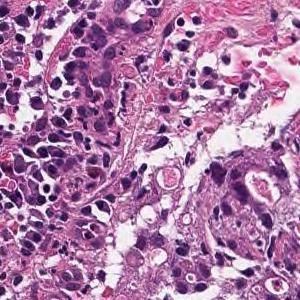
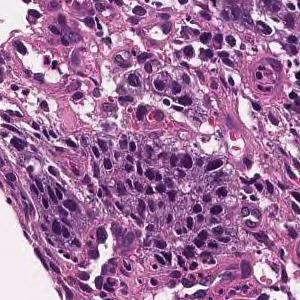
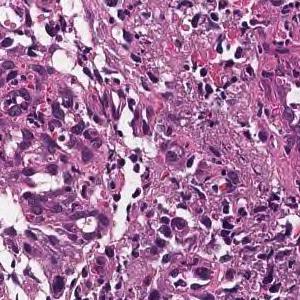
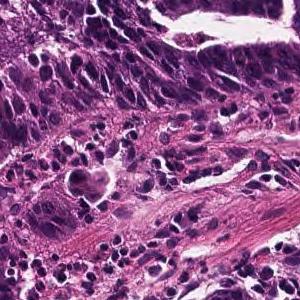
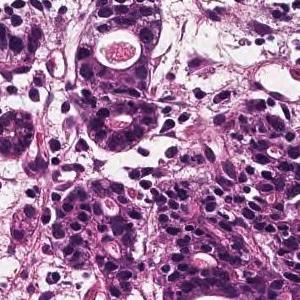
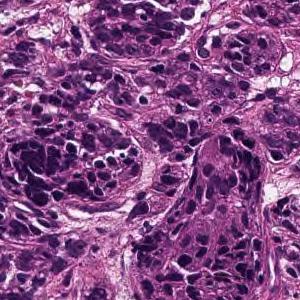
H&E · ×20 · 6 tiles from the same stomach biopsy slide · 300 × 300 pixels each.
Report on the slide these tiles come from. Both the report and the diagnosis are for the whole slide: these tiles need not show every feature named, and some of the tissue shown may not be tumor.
Medium to small, irregular glandular ducts are formed in the superficial epithelium, and in some cases, the glandular ducts are fused to show solid alveolar lesions and infiltrating tumor tissue is observed. Moderately to poorly differentiated adenocarcinoma.
